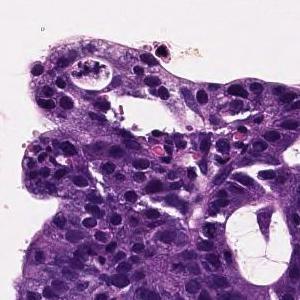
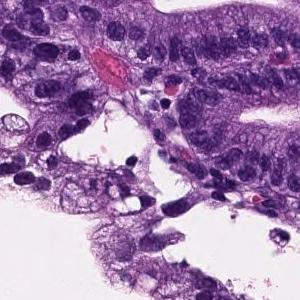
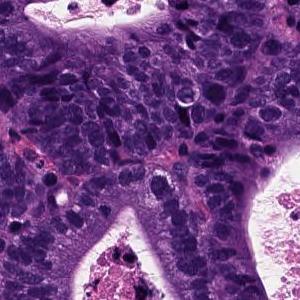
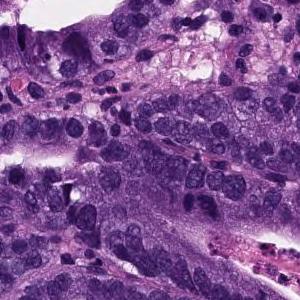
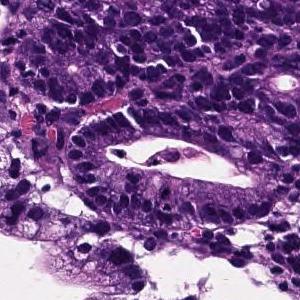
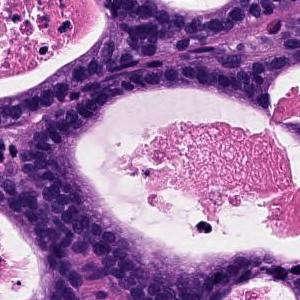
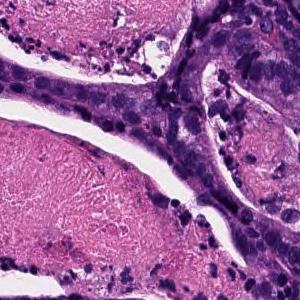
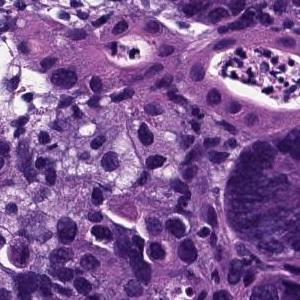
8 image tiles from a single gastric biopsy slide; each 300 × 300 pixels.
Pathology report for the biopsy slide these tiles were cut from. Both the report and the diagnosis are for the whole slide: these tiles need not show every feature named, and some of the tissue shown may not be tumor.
From the superficial epithelium to the muscularis mucosae, tumor tissue consisting of medium-sized and irregular glandular ducts infiltrating is observed. Well differentiated tubular adenocarcinoma
